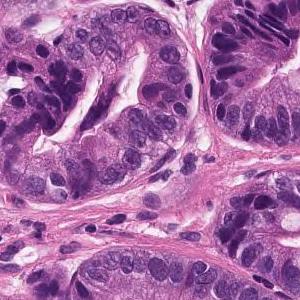
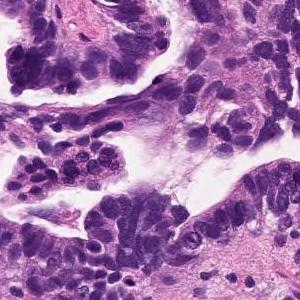
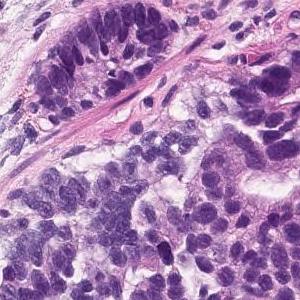
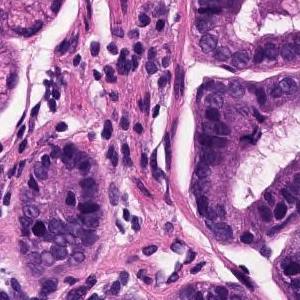
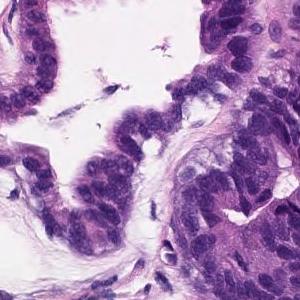
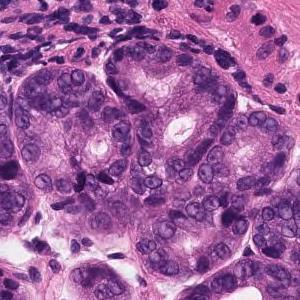
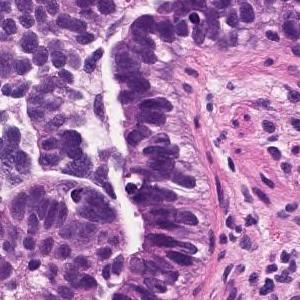
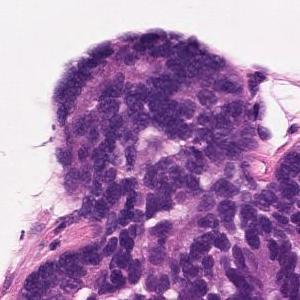
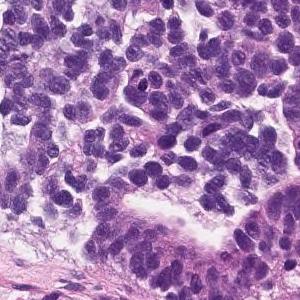
9 image tiles from a single gastric biopsy slide · 300 × 300 pixels each · 20× magnification · hematoxylin and eosin stain.
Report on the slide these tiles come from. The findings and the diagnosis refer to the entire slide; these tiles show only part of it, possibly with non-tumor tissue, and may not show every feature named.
Atypical epithelium with tight nuclei shows irregular or sieving duct construction and proliferates. Well to moderately differentiated tubular adenocarcinoma (well differentiated tubular adenocarcinoma-moderately differentiated tubular adenocarcinoma)
Classified as well to moderately differentiated tubular adenocarcinoma.
